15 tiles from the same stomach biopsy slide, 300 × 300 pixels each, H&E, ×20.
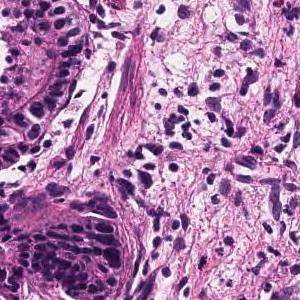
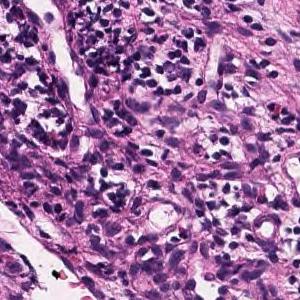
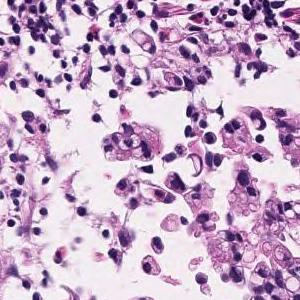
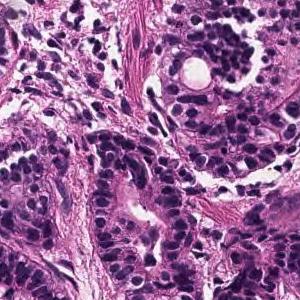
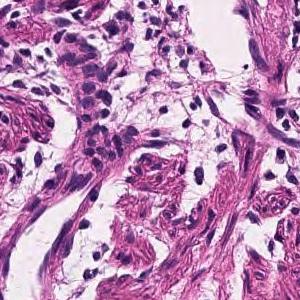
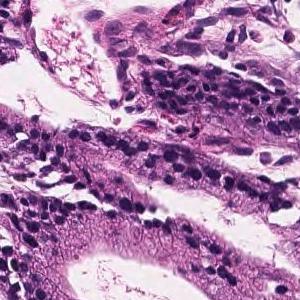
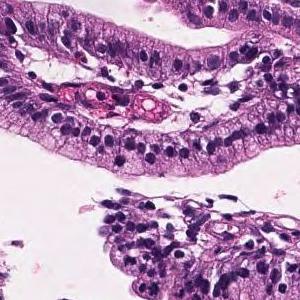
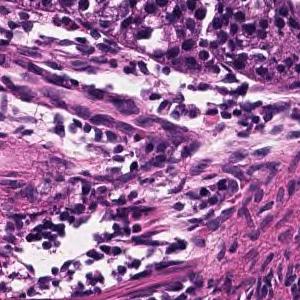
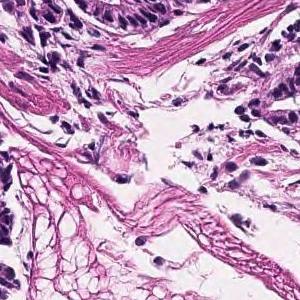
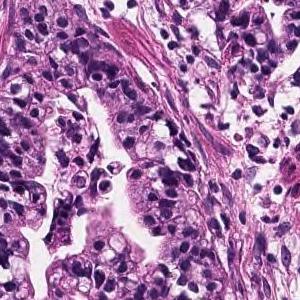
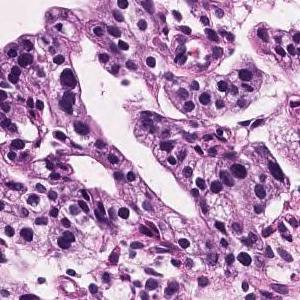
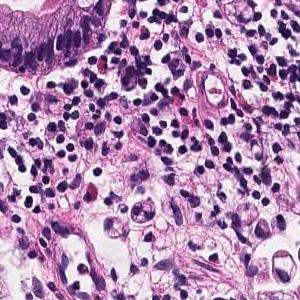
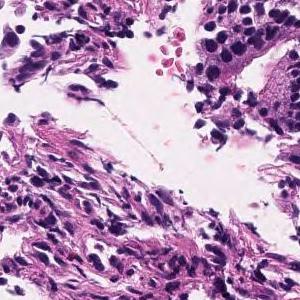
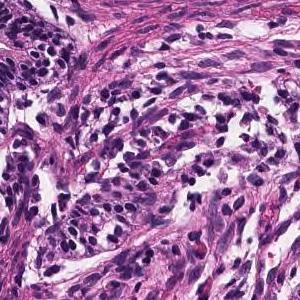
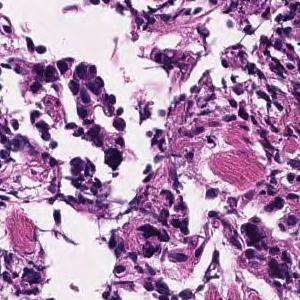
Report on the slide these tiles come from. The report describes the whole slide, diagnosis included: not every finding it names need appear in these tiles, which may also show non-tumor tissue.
Tumor tissue consisting of large papillary structures or irregular glandular ducts partially fused and infiltrated is observed in the superficial epithelium. Well to moderately differentiated tubular adenocarcinoma.
The dataset labels this slide moderately differentiated tubular adenocarcinoma.
